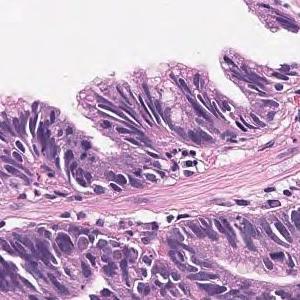
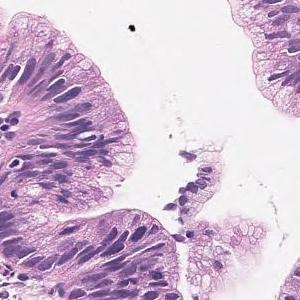
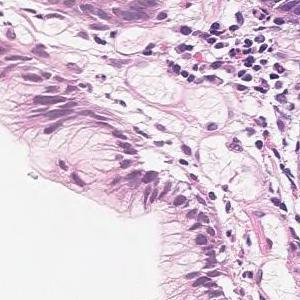
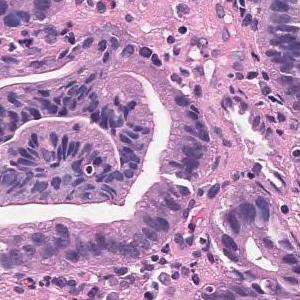
H&E stain · scanned at ×20 · 4 image tiles from a single gastric biopsy slide · each 300 × 300 pixels.
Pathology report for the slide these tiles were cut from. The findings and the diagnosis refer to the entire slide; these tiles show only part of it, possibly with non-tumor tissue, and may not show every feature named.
Tumor tissue that grows tubular from the surface to the glandular fossa is seen. Adenocarcinoma.
Histological subtype: Well differentiated tubular adenocarcinoma.
